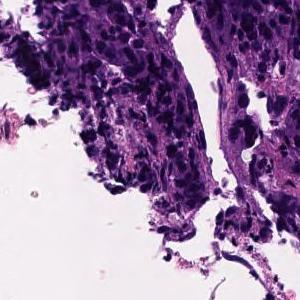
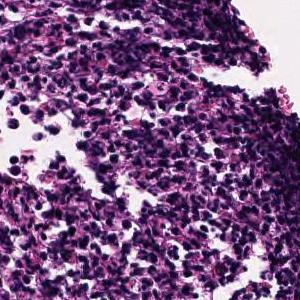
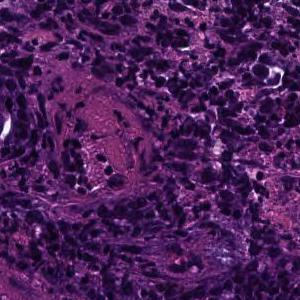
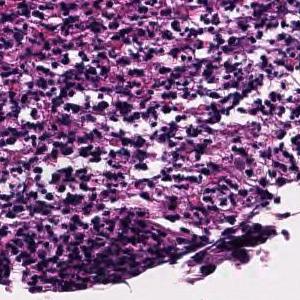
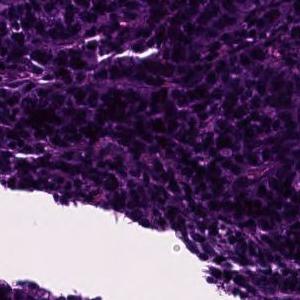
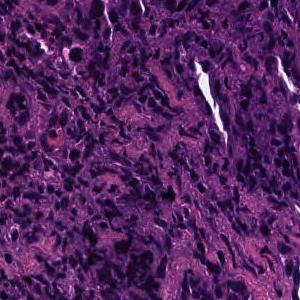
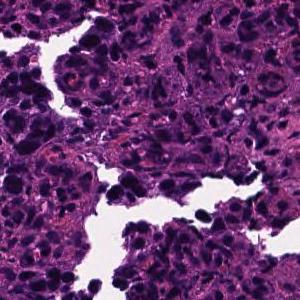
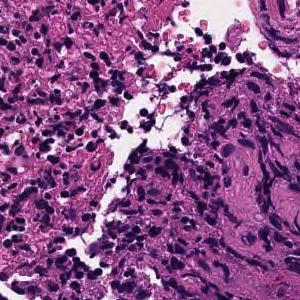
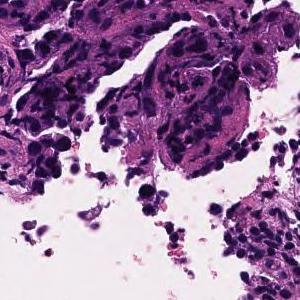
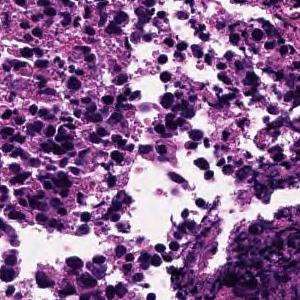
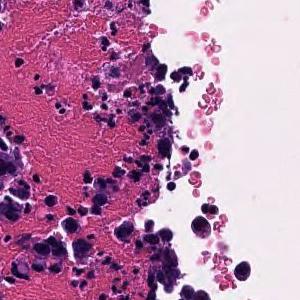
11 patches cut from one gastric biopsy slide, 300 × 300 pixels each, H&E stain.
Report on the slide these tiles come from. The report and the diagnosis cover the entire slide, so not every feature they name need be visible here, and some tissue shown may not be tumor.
In the superficial epithelium, tumor tissue that invades by forming medium-sized to small, irregular ducts is observed. moderately differentiated tubular adenocarcinoma.
